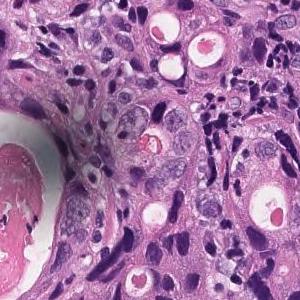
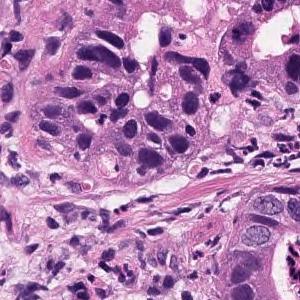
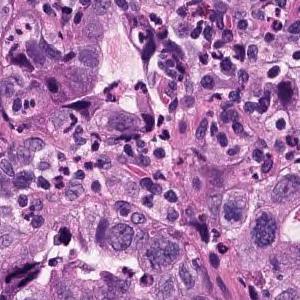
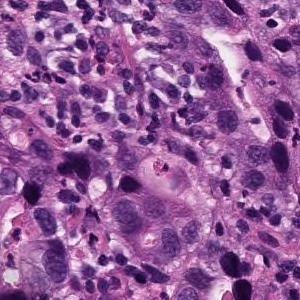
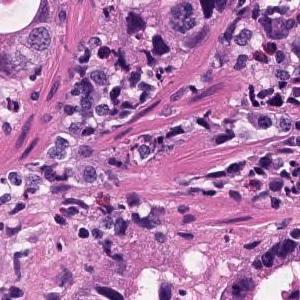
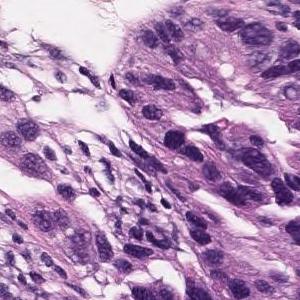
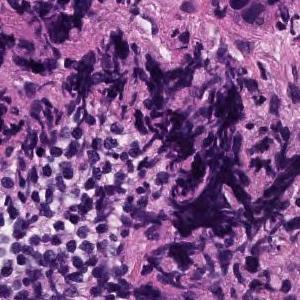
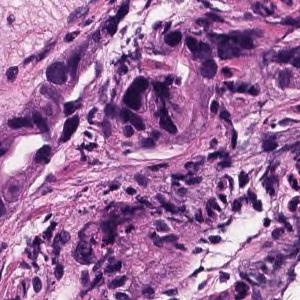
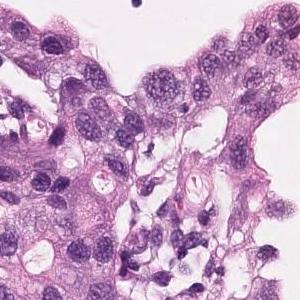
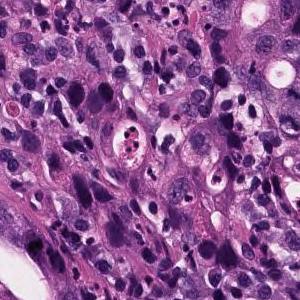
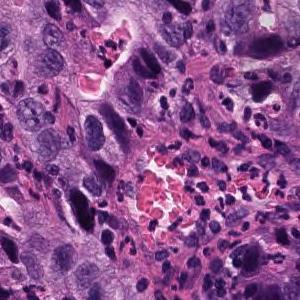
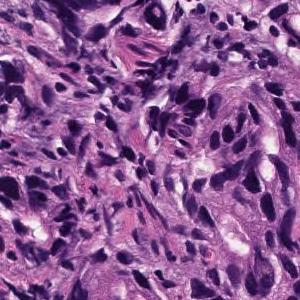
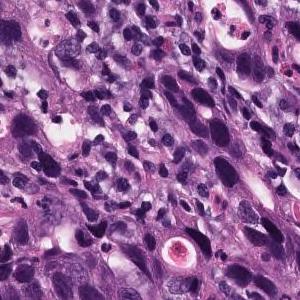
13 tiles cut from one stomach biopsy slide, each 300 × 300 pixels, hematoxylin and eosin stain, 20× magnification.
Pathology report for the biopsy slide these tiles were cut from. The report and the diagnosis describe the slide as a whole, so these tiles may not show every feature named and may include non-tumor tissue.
In the superficial epithelium, tumor tissue that invades by forming medium-sized to small, irregular ducts is observed. Moderately differentiated adenocarcinoma.
Classified as moderately differentiated tubular adenocarcinoma.
